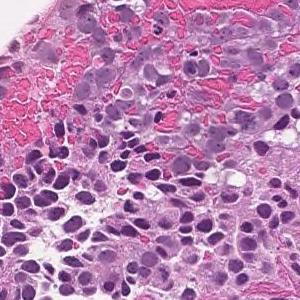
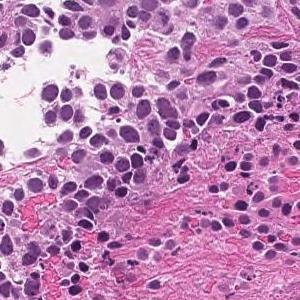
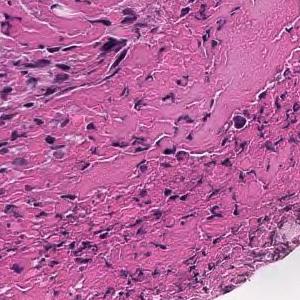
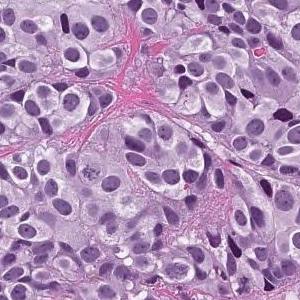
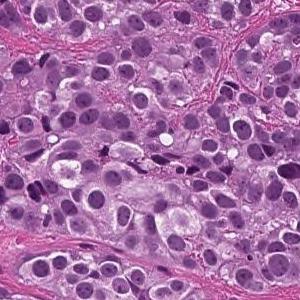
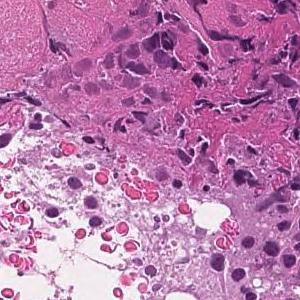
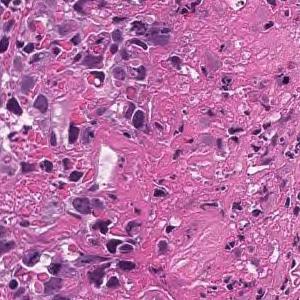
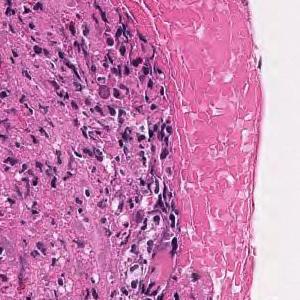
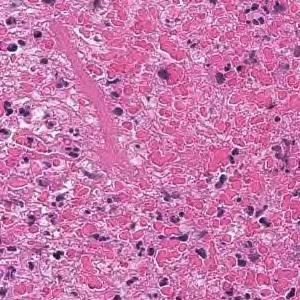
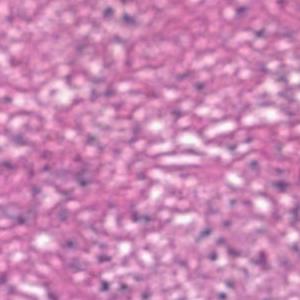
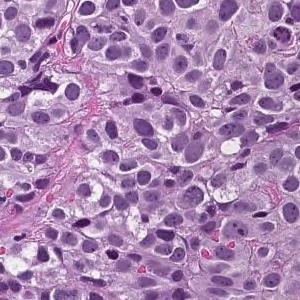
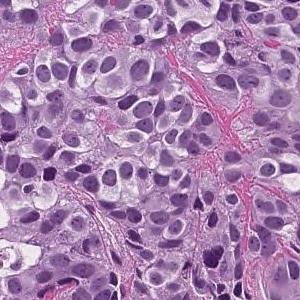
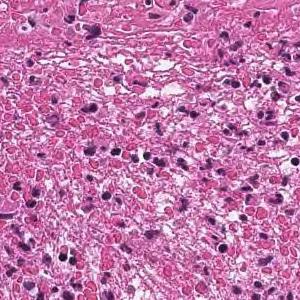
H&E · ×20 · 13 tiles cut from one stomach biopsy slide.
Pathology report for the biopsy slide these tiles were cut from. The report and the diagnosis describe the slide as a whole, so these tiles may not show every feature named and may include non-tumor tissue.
The superficial epithelium shows a large sheet-like shape, and some tumor tissue infiltrates with small irregular ducts. Poorly differentiated adenocarcinoma, solid-type
Histologic type: Poorly differentiated adenocarcinoma, solid type (Japanese Classification of Gastric Carcinoma). The WHO 2019 equivalent is tubular adenocarcinoma, poorly differentiated.
